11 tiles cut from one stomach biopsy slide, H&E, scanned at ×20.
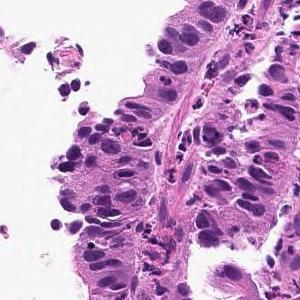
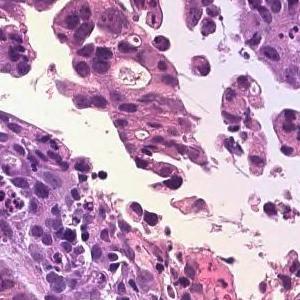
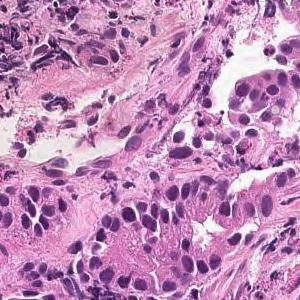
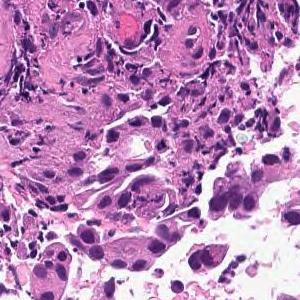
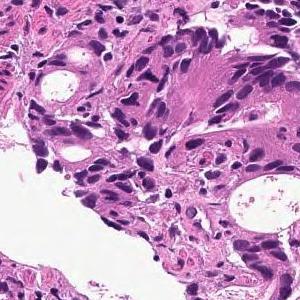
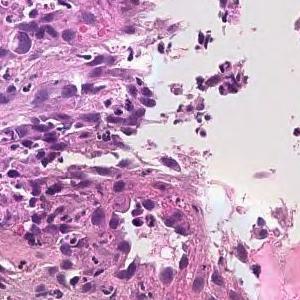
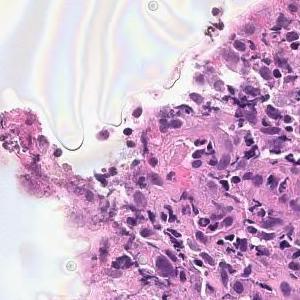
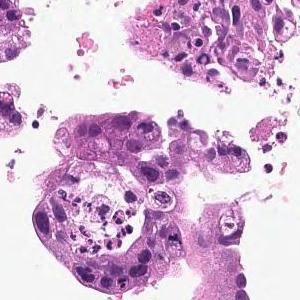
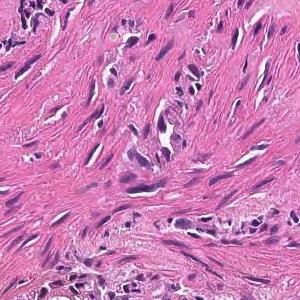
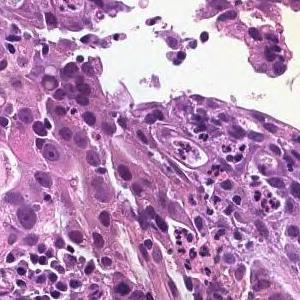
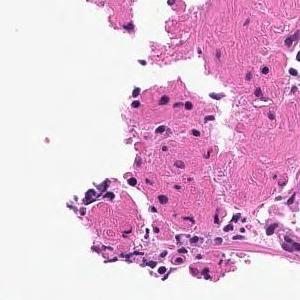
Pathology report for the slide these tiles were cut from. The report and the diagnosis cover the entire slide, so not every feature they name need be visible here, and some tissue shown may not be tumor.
On the superficial epithelium, tumor tissue consisting of large irregular glandular ducts partially fused and infiltrated is observed. Well to moderately differentiated tubular adenocarcinoma (well differentiated tubular adenocarcinoma, moderately differentiated tubular adenocarcinoma)
Histological subtype: Well to moderately differentiated tubular adenocarcinoma.
